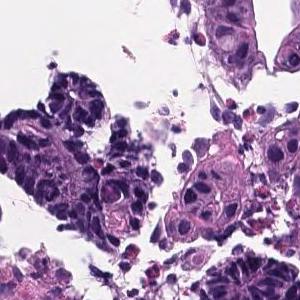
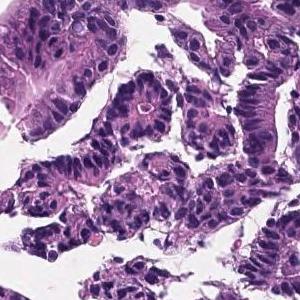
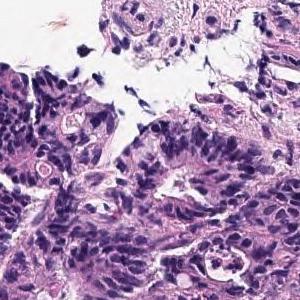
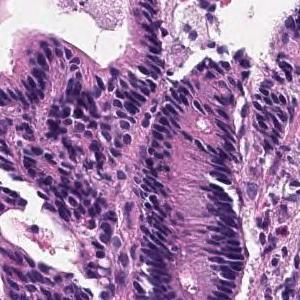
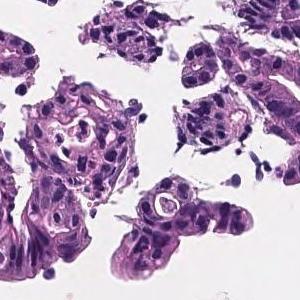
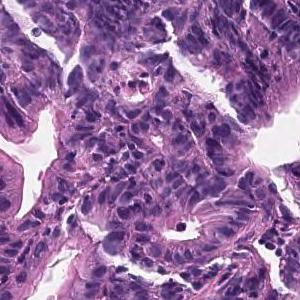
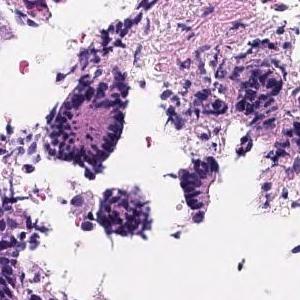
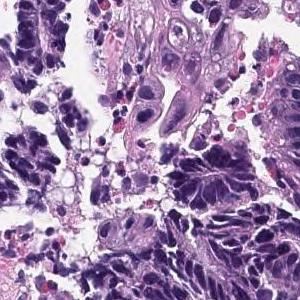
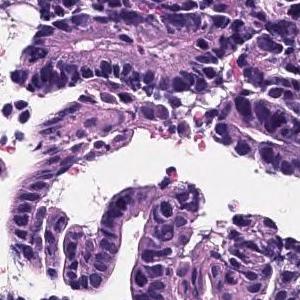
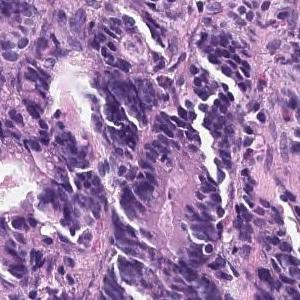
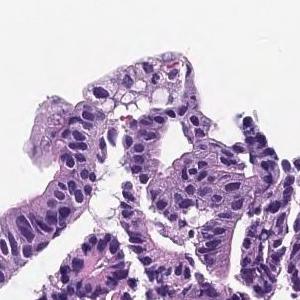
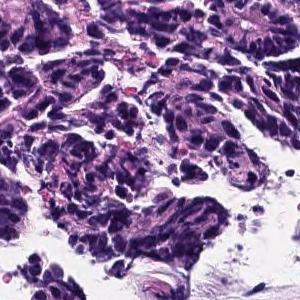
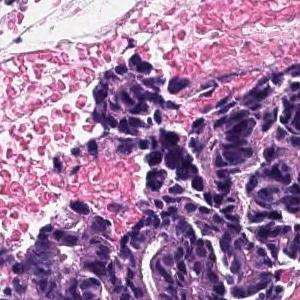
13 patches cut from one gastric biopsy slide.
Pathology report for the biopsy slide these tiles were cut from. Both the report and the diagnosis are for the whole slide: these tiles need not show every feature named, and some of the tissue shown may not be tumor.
In the superficial epithelium, tumor tissue that invades by forming medium-sized to small, irregular ducts is observed. Moderately differentiated adenocarcinoma.
Subtype: Moderately differentiated tubular adenocarcinoma.
